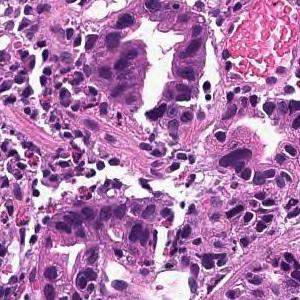
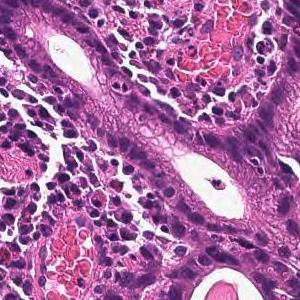
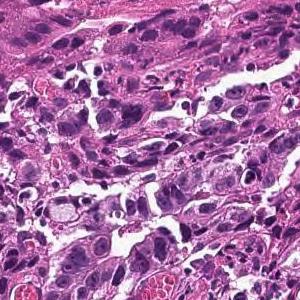
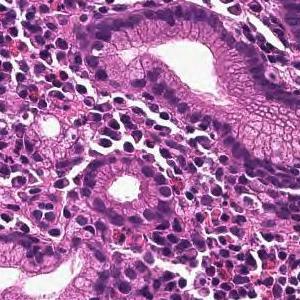
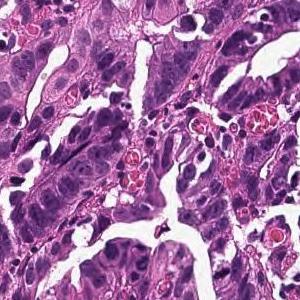
H&E stain · 5 tiles from the same stomach biopsy slide · each 300 × 300 pixels.
Pathology report for the slide these tiles were cut from. The report describes the whole slide, diagnosis included: not every finding it names need appear in these tiles, which may also show non-tumor tissue.
On the superficial epithelium, tumor tissue consisting of large, irregular glandular ducts partially fused and infiltrated is observed. Well to moderately differentiated tubular adenocarcinoma (well differentiated tubular adenocarcinoma, moderately differentiated tubular adenocarcinoma)
Subtype: Well to moderately differentiated tubular adenocarcinoma.
